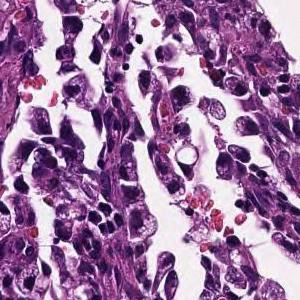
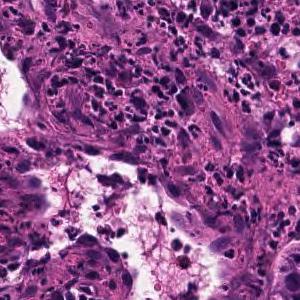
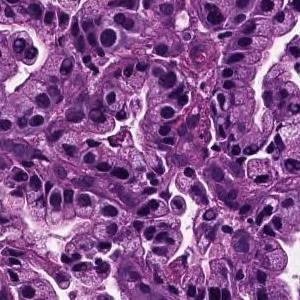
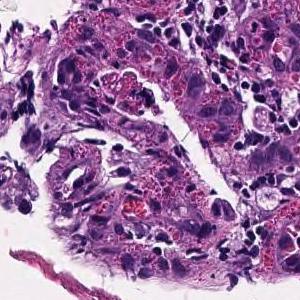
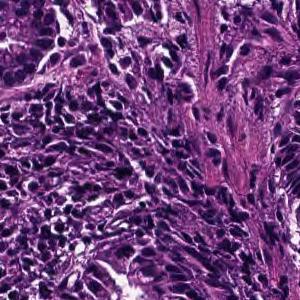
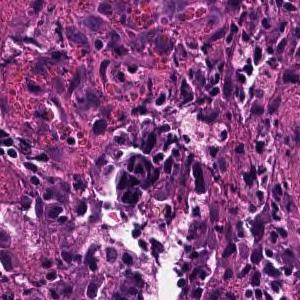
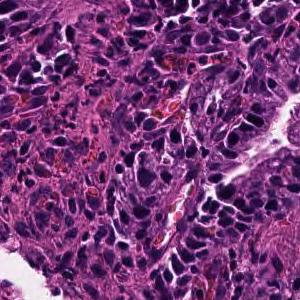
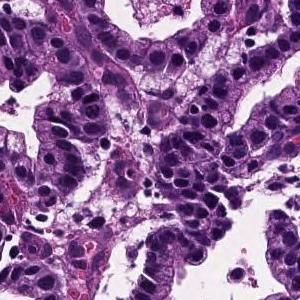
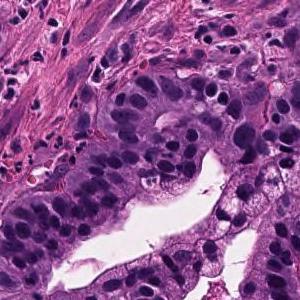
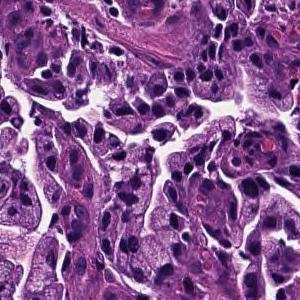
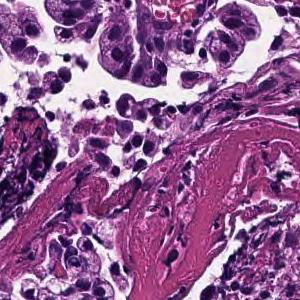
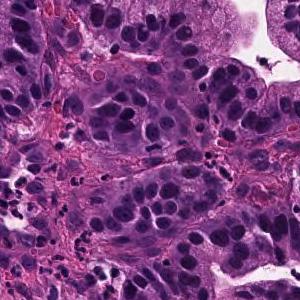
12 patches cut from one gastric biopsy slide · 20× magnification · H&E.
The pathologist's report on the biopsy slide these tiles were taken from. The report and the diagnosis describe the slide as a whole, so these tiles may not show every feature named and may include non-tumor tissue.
Tumor cells are large, highly columnar, large club-shaped nuclei, and are associated with chromatin aggregation. Papillary adenocarcinoma.
